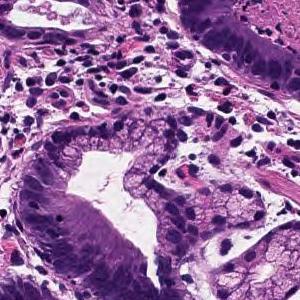
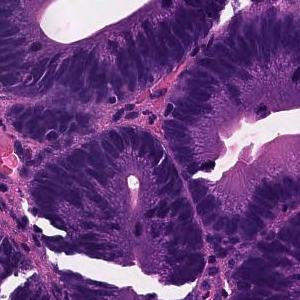
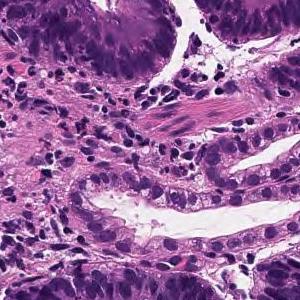
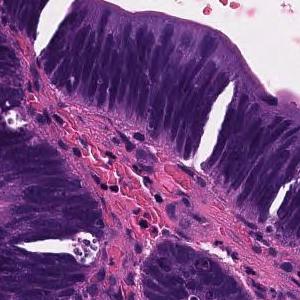
4 image tiles from a single gastric biopsy slide, H&E stain, scanned at ×20.
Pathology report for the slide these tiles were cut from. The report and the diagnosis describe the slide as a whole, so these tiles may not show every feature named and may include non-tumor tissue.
Tumor tissue consisting of large papillary structures is found in the superficial epithelium. Papillary adenocarcinoma.
